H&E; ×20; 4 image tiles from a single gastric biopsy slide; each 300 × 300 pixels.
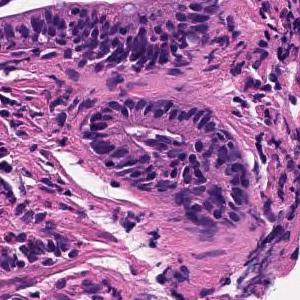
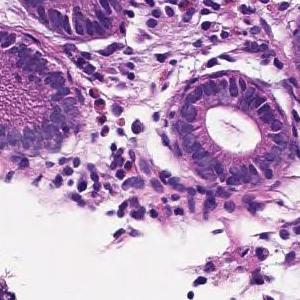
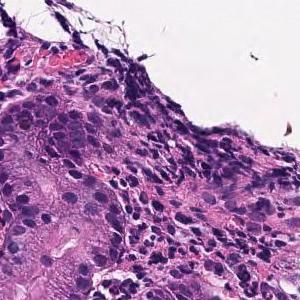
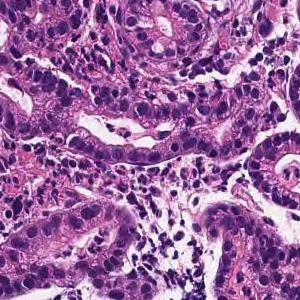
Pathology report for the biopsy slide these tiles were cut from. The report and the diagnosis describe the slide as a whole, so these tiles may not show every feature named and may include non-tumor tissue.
Tumor tissue infiltrated and proliferated with small to medium-sized irregular tubules is observed in the superficial epithelium. Well differentiated tubular adenocarcinoma
